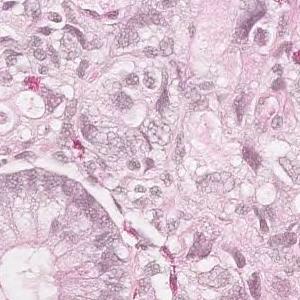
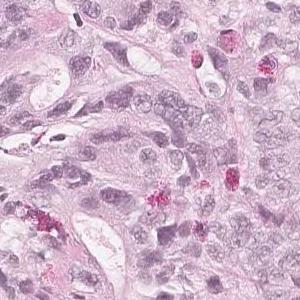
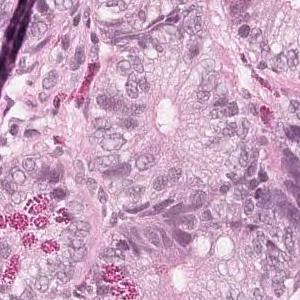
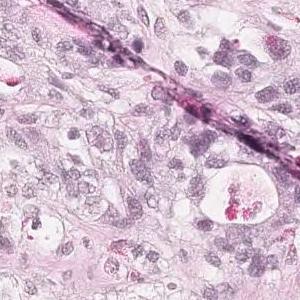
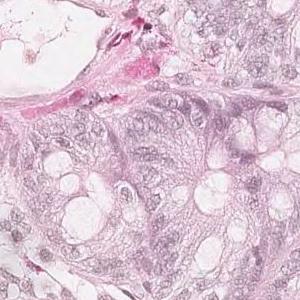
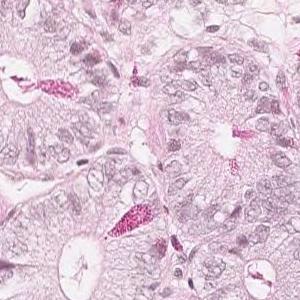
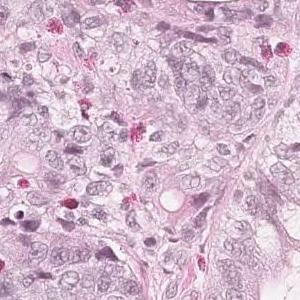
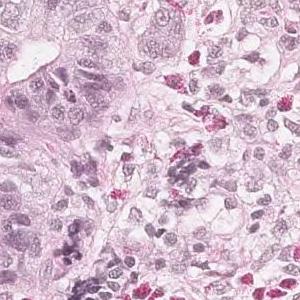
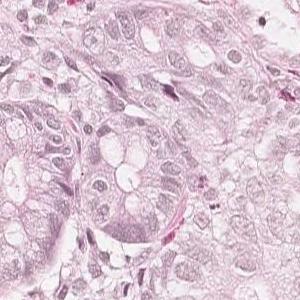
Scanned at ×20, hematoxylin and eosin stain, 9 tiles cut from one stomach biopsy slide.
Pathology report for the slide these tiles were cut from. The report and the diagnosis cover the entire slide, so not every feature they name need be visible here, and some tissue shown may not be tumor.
Medium to small, irregular glandular ducts are formed in the superficial epithelium, and in some cases, the glandular ducts are fused to show solid alveolar lesions and infiltrating tumor tissue is observed. Moderately to poorly differentiated adenocarcinoma.
